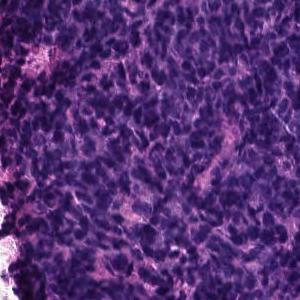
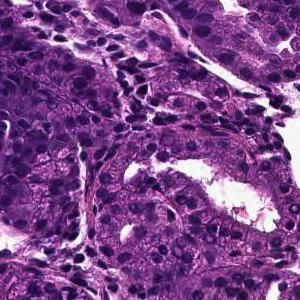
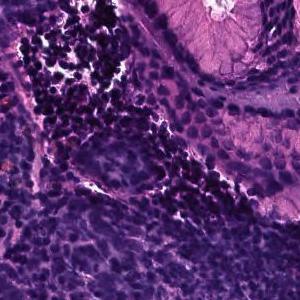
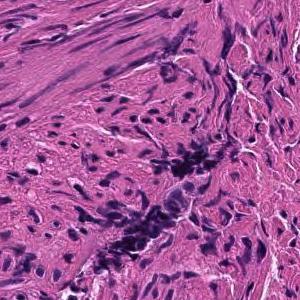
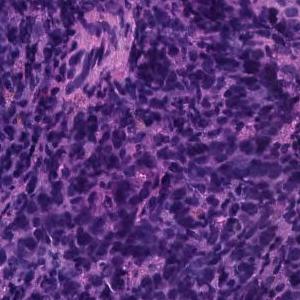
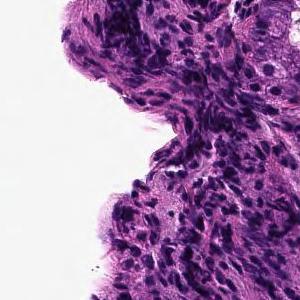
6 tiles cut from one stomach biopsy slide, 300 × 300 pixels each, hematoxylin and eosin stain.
Pathology report for the slide these tiles were cut from. The report and the diagnosis describe the slide as a whole, so these tiles may not show every feature named and may include non-tumor tissue.
The superficial epithelium shows a large sheet-like shape, and some tumor tissue infiltrates with small irregular ducts. Poorly differentiated adenocarcinoma, solid-type
Subtype: Poorly differentiated adenocarcinoma, solid type, a category of the Japanese Classification of Gastric Carcinoma; in the WHO 2019 classification it is tubular adenocarcinoma, poorly differentiated.
